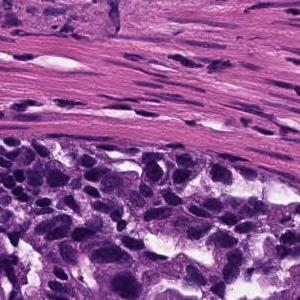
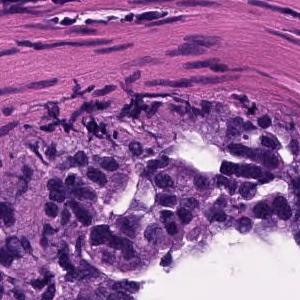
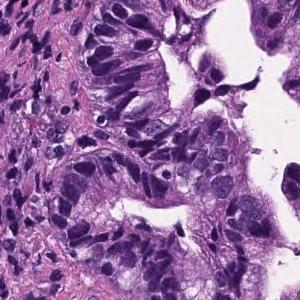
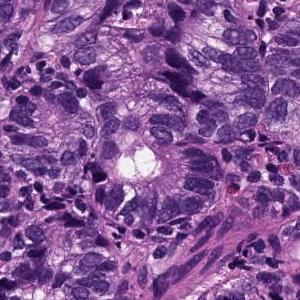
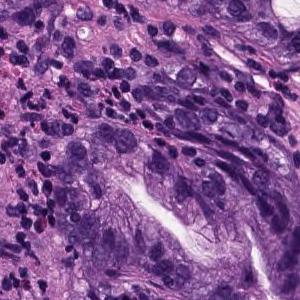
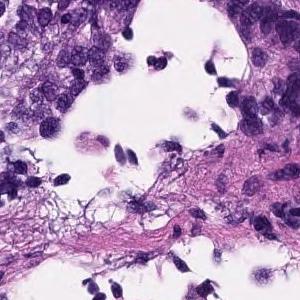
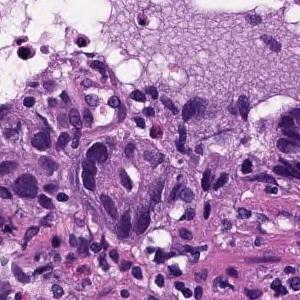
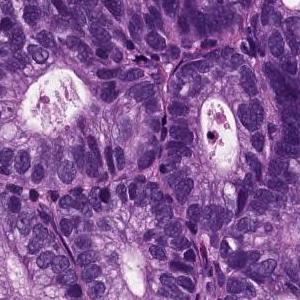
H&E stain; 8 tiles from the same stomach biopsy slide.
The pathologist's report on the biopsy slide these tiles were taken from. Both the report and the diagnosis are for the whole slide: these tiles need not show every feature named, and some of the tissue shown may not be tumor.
In the superficial epithelium, tumor tissue that invades by forming medium-sized to small, irregular ducts is observed. Moderately differentiated adenocarcinoma.
Subtype: Moderately differentiated tubular adenocarcinoma.
